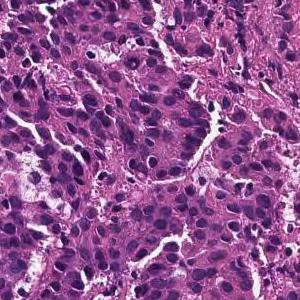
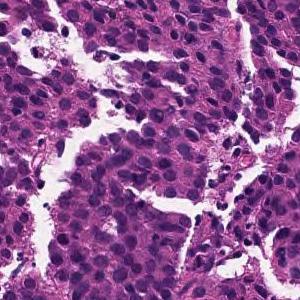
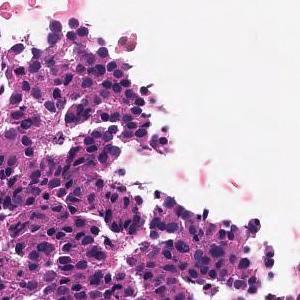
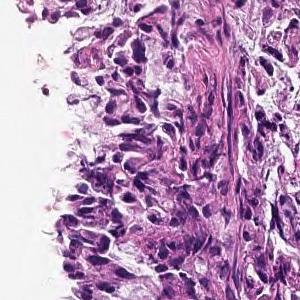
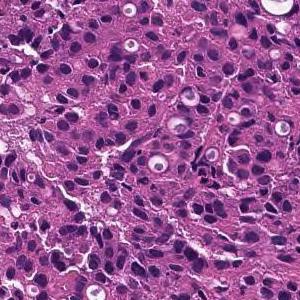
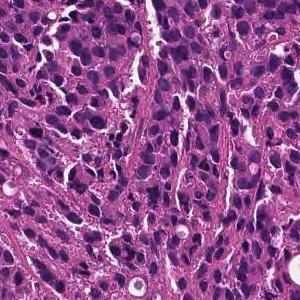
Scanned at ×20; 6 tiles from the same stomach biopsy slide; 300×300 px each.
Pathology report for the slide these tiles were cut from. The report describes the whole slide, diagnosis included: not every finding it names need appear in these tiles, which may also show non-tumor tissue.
The superficial epithelium shows a large sheet-like shape, and some tumor tissue infiltrates with small irregular ducts. Poorly differentiated adenocarcinoma, solid-type
Histological subtype: Poorly differentiated adenocarcinoma, solid type. This name comes from the Japanese Classification of Gastric Carcinoma; the WHO 2019 classification calls it tubular adenocarcinoma, poorly differentiated.
